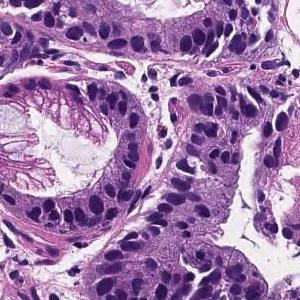
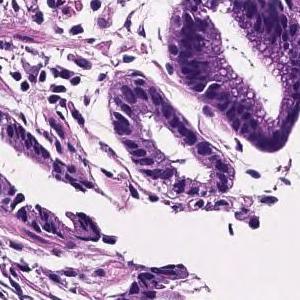
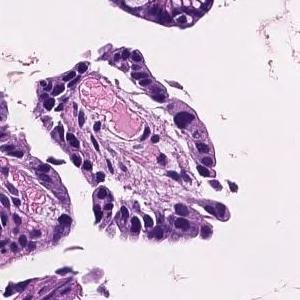
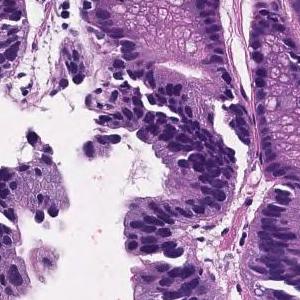
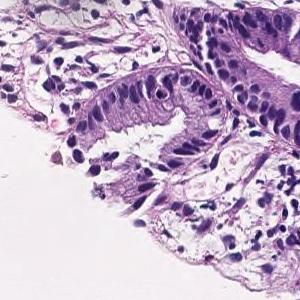
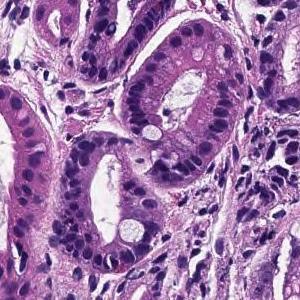
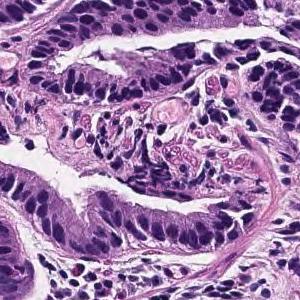
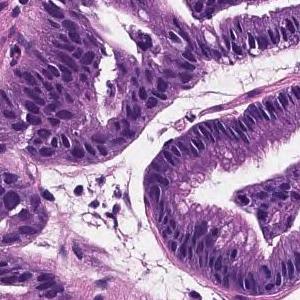
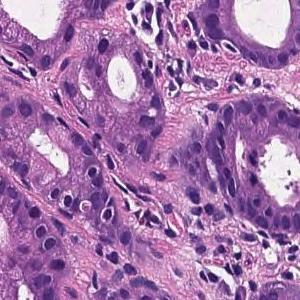
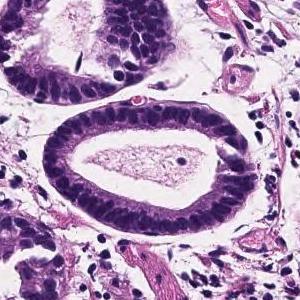
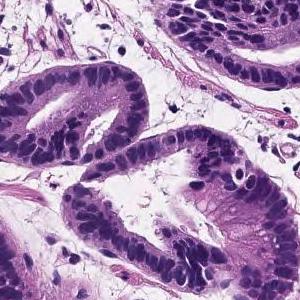
11 tiles from the same stomach biopsy slide; H&E.
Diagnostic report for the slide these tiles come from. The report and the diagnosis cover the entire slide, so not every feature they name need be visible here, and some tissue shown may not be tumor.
Tumor cells are large, highly columnar, large club-shaped nuclei, and are associated with chromatin aggregation. Papillary adenocarcinoma.
